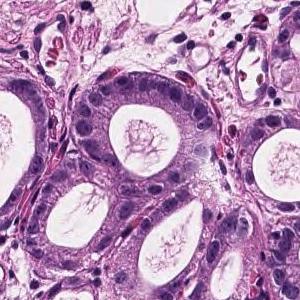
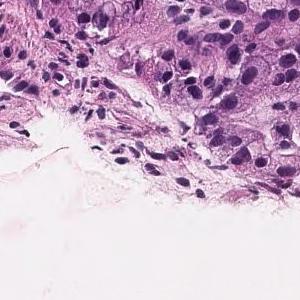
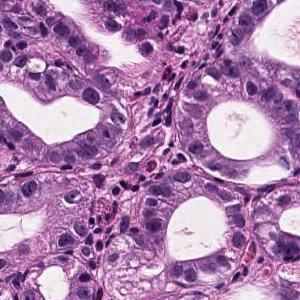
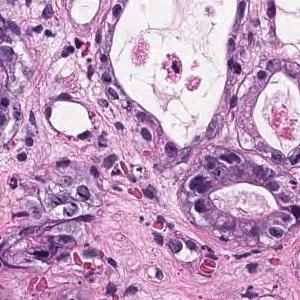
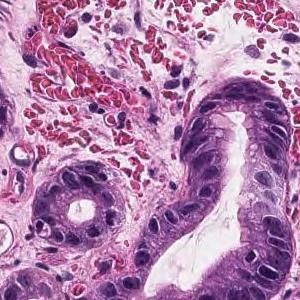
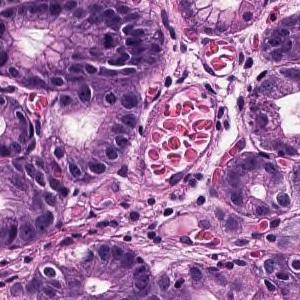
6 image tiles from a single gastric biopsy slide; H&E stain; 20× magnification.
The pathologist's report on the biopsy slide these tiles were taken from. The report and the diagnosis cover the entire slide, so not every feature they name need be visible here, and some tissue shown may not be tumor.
On the superficial epithelium, tumor tissue that infiltrates by forming medium-sized round or small irregular ducts is observed. Papillary adenocarcinoma
